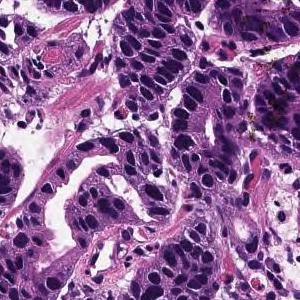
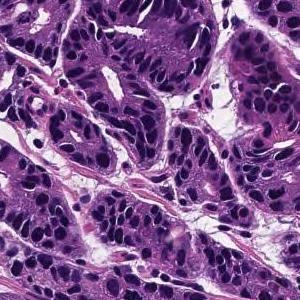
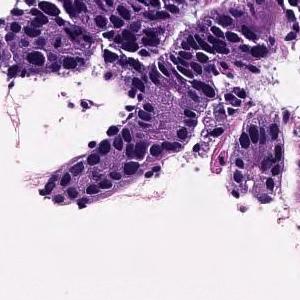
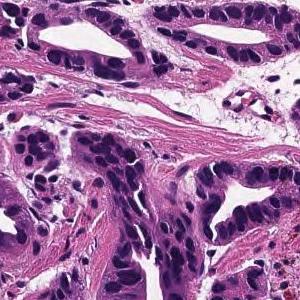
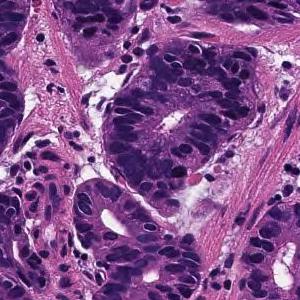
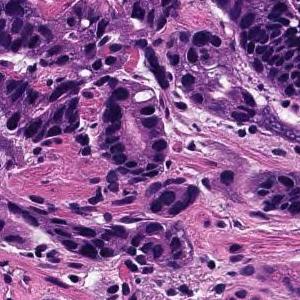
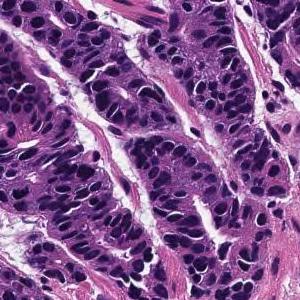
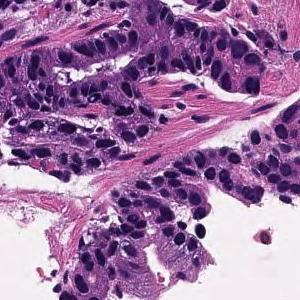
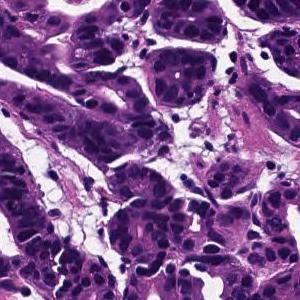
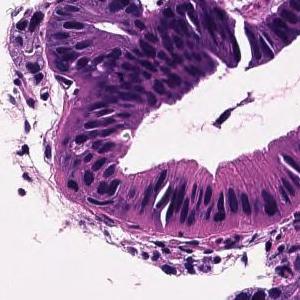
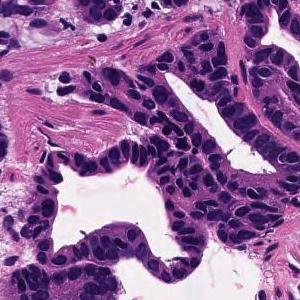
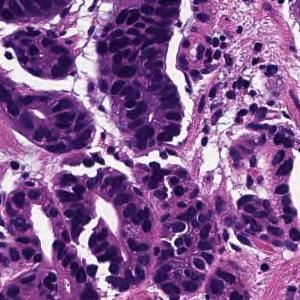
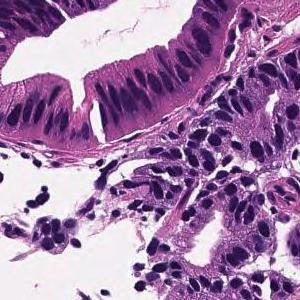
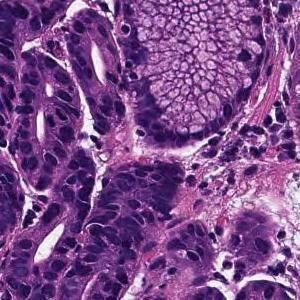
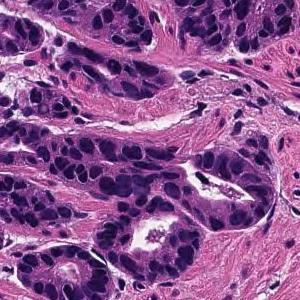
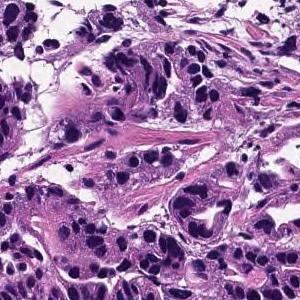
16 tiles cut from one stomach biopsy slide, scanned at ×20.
Diagnostic report for the slide these tiles come from. Both the report and the diagnosis are for the whole slide: these tiles need not show every feature named, and some of the tissue shown may not be tumor.
From the superficial epithelium to the muscularis mucosae, tumor tissue consisting of medium-sized and irregular glandular ducts infiltrating is observed. Well differentiated tubular adenocarcinoma
